13 tiles from the same stomach biopsy slide · scanned at ×20 · H&E stain.
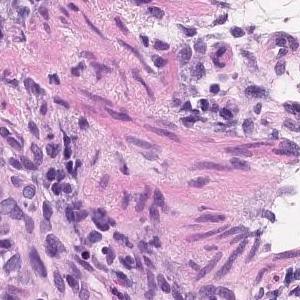
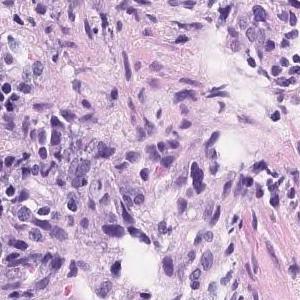
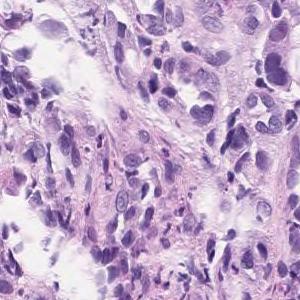
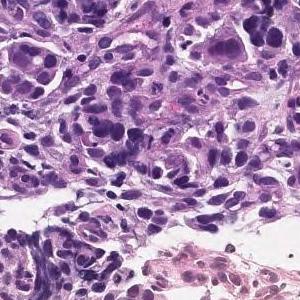
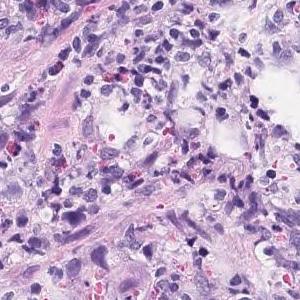
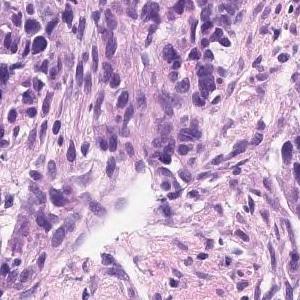
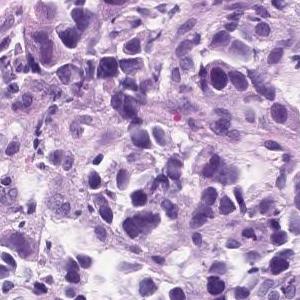
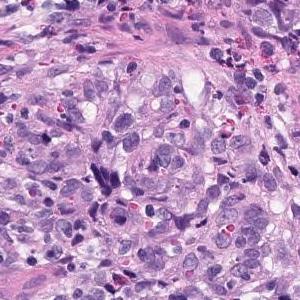
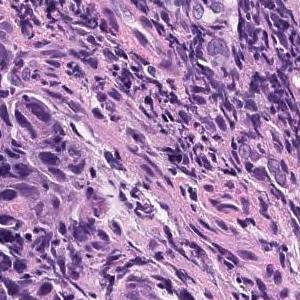
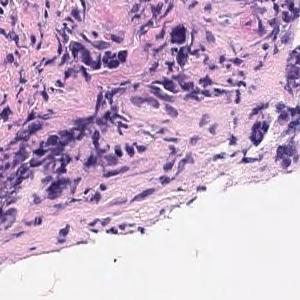
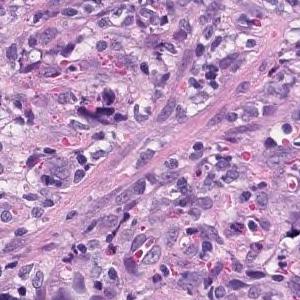
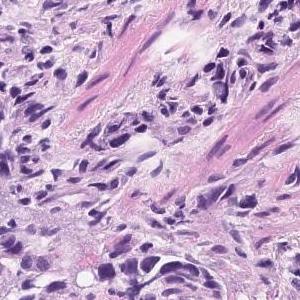
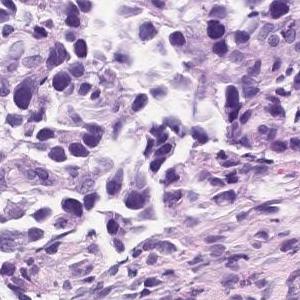
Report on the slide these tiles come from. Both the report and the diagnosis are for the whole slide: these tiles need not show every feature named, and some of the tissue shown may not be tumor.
Group 5, Moderately differentiated adenocarcinoma
Classified as moderately differentiated tubular adenocarcinoma.
